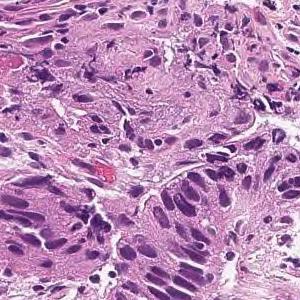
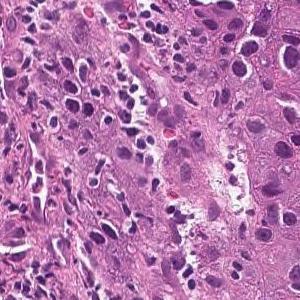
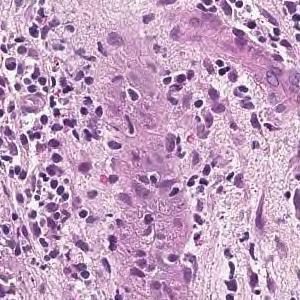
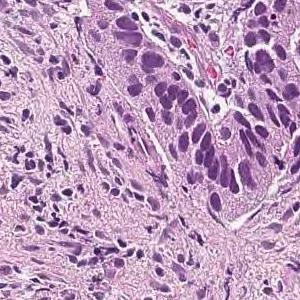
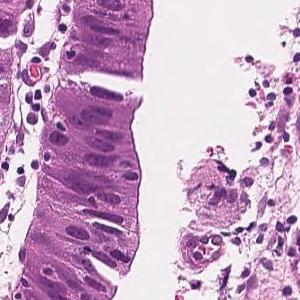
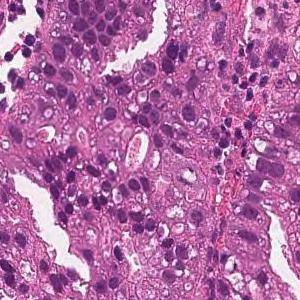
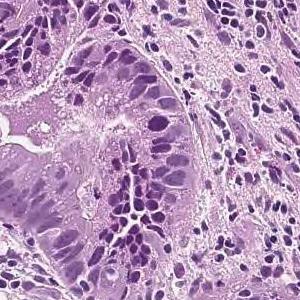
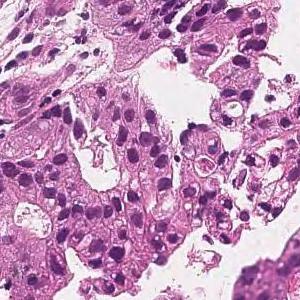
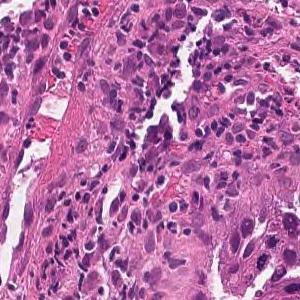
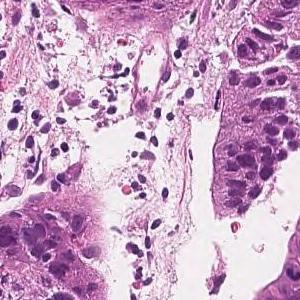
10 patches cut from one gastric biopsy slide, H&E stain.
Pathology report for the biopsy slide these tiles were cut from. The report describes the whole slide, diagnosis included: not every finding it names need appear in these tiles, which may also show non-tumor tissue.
In the superficial epithelium, tumor tissue that invades by forming medium-sized to small, irregular ducts is observed. moderately differentiated tubular adenocarcinoma.
